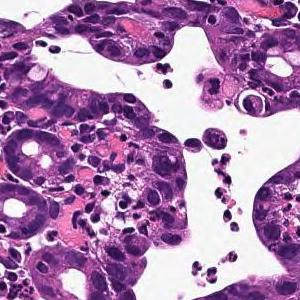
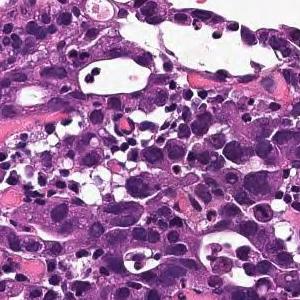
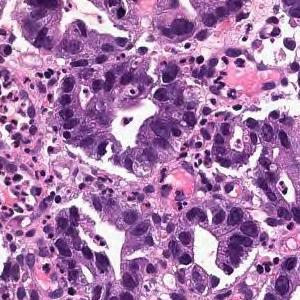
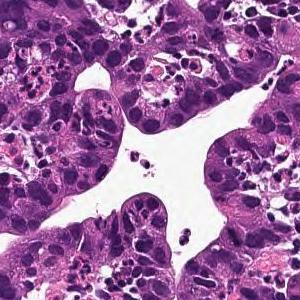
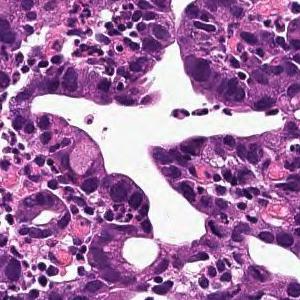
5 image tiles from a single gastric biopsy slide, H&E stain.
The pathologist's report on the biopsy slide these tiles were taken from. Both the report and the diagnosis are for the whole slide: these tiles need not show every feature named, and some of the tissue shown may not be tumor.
On the superficial epithelium, a tumor tissue consisting of a large, irregular glandular duct partially fused and infiltrating with a small alveolar shape is observed. Well or moderately differentiated tubular adenocarcinoma (well differentiated tubular adenocarcinoma, moderately differentiated tubular adenocarcinoma)
Histological subtype: Well to moderately differentiated tubular adenocarcinoma.
